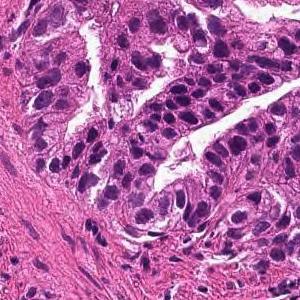
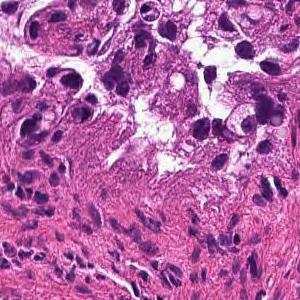
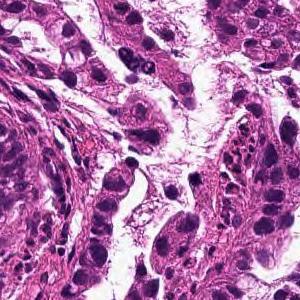
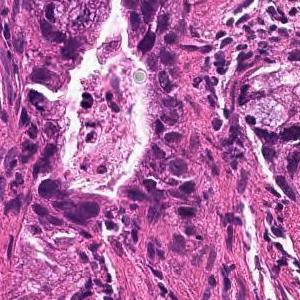
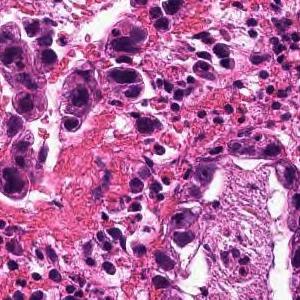
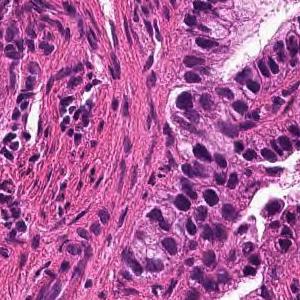
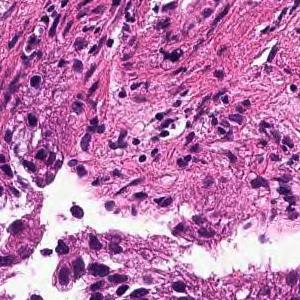
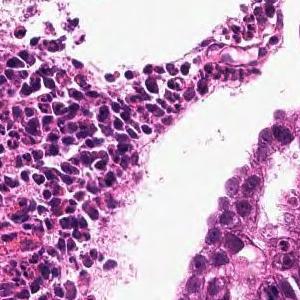
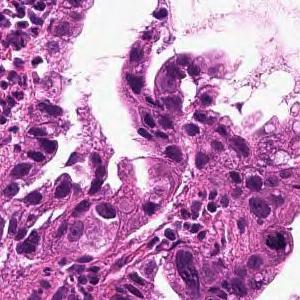
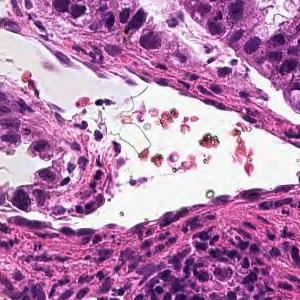
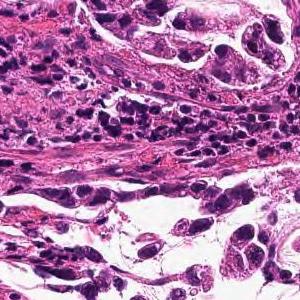
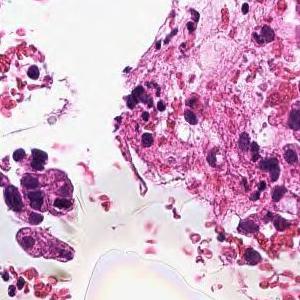
12 image tiles from a single gastric biopsy slide, each 300 × 300 pixels, H&E.
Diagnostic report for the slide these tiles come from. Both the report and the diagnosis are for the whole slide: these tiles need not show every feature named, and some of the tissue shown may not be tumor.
From the superficial epithelium to the muscularis mucosae, tumor tissue infiltrating by forming medium-sized irregular gland ducts is observed. Well differentiated tubular adenocarcinoma
